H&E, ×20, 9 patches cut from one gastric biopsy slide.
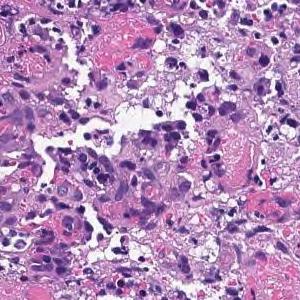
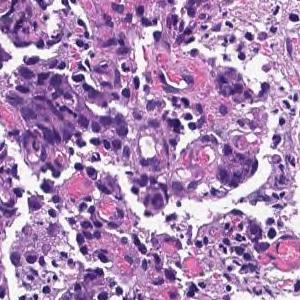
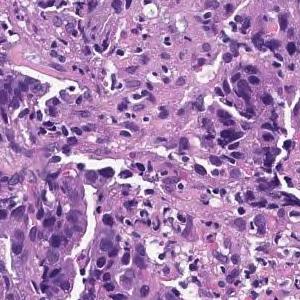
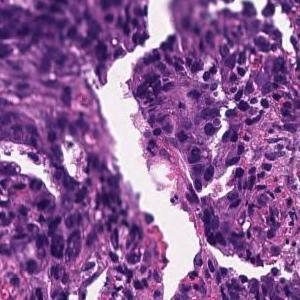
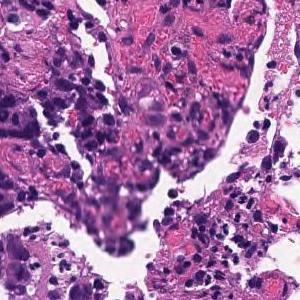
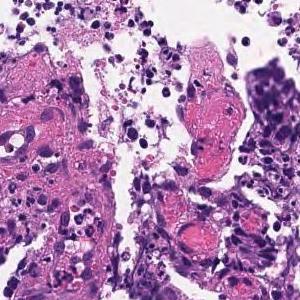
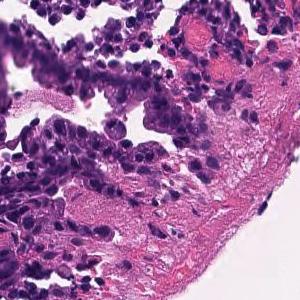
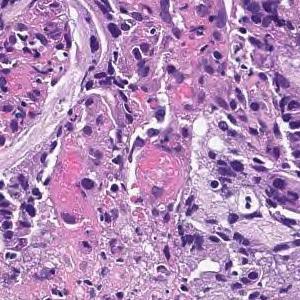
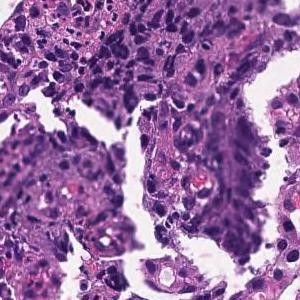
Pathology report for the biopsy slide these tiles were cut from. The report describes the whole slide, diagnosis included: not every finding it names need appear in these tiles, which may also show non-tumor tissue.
On the superficial epithelium, tumor tissue consisting of large irregular glandular ducts partially fused and infiltrated is observed. Well to moderately differentiated tubular adenocarcinoma (well differentiated tubular adenocarcinoma, moderately differentiated tubular adenocarcinoma)
Tumor subtype: well to moderately differentiated tubular adenocarcinoma.
